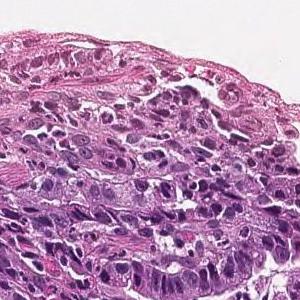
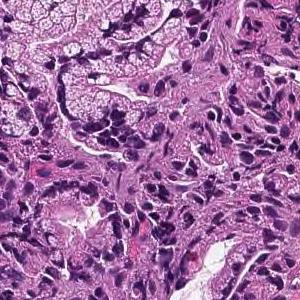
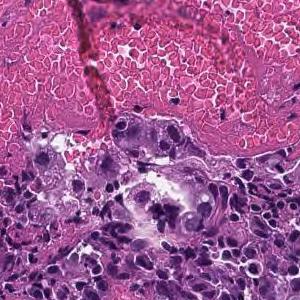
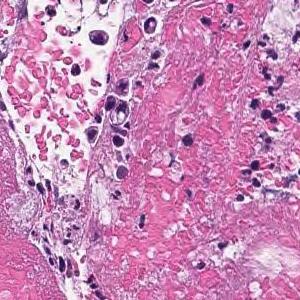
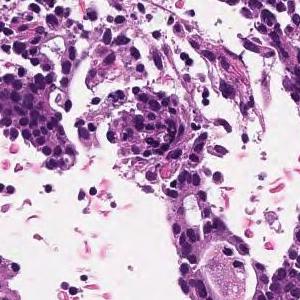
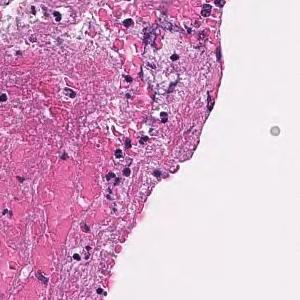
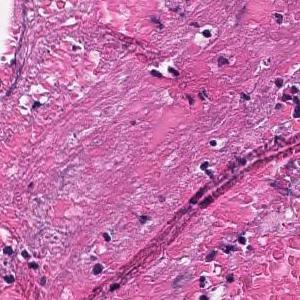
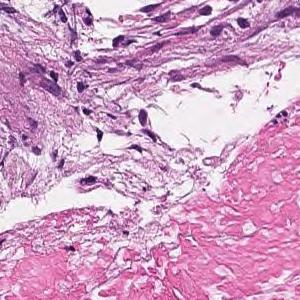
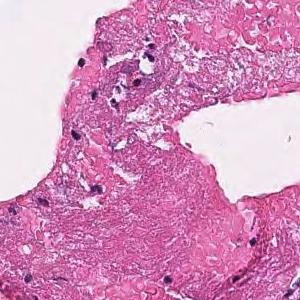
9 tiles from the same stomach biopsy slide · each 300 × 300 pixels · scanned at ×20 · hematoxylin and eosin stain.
Pathology report for the biopsy slide these tiles were cut from. Both the report and the diagnosis are for the whole slide: these tiles need not show every feature named, and some of the tissue shown may not be tumor.
On the superficial epithelium, tumor tissue that infiltrates by forming medium-sized papillary or small irregular ducts is observed. Papillary adenocarcinoma
